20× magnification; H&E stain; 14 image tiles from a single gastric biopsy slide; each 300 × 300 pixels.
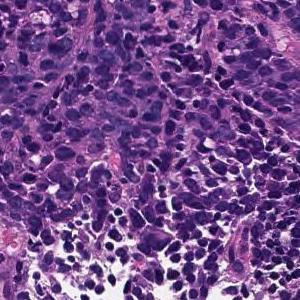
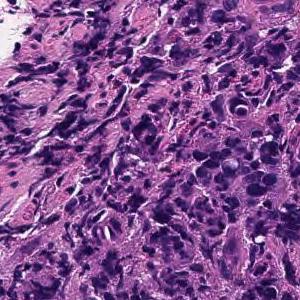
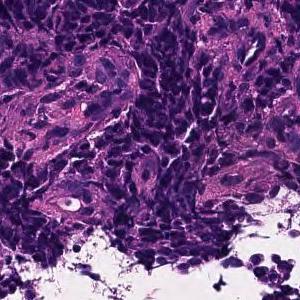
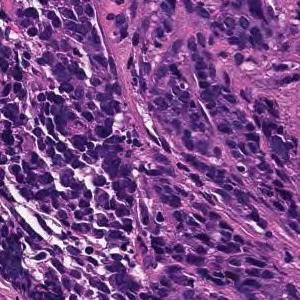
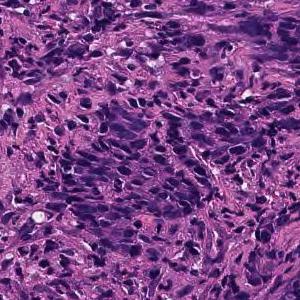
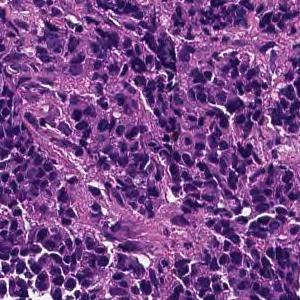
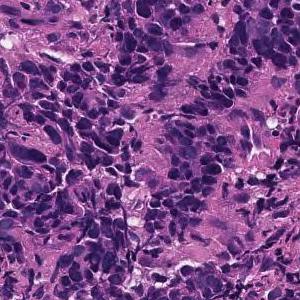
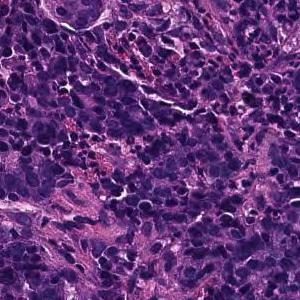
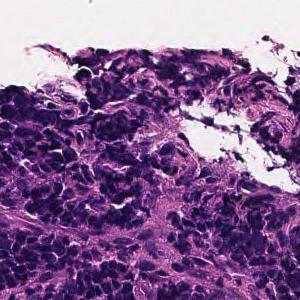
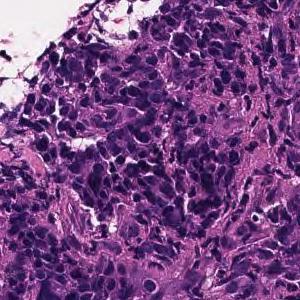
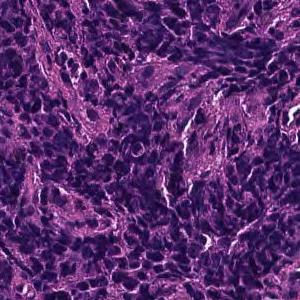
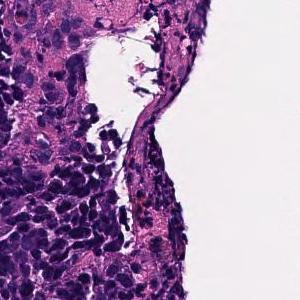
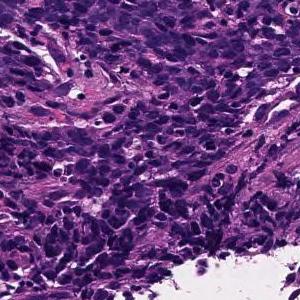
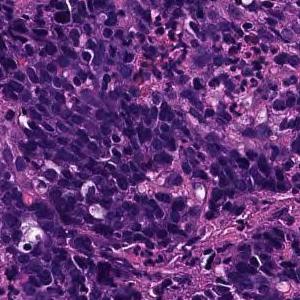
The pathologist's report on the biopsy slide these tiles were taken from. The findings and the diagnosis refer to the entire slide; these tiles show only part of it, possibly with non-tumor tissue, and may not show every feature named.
Tumor tissue consisting of cord-like or small, irregular glandular ducts fused and infiltrated is observed in the superficial epithelium. Poorly differentiated adenocarcinoma, non-solid type
"Non-solid type" is a category of the Japanese Classification of Gastric Carcinoma.
